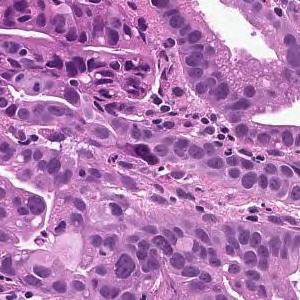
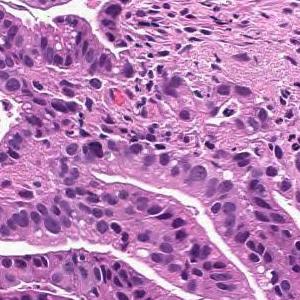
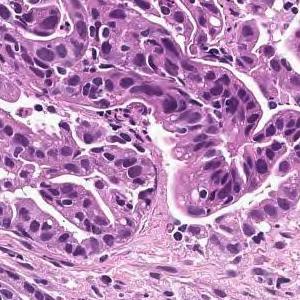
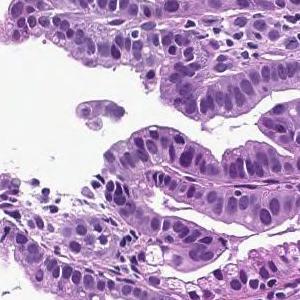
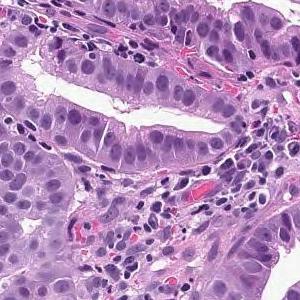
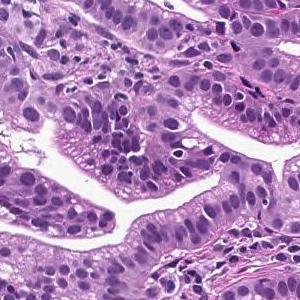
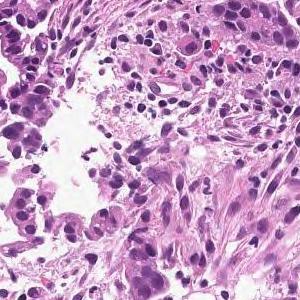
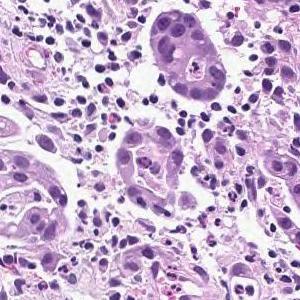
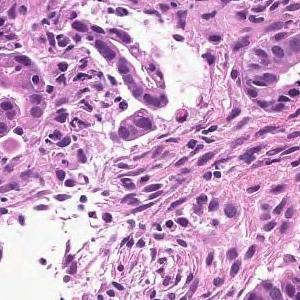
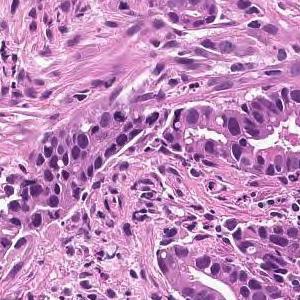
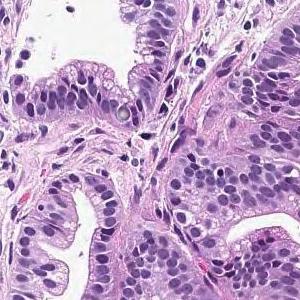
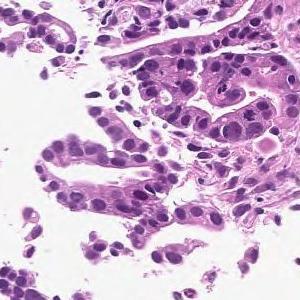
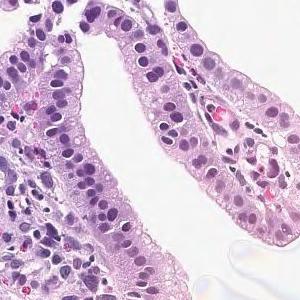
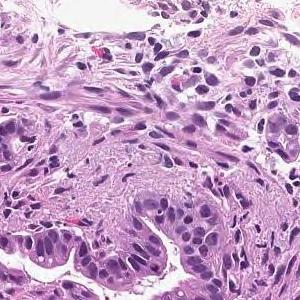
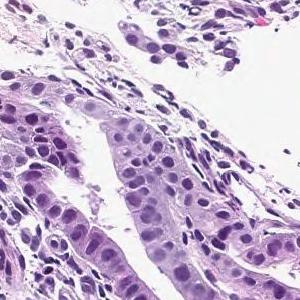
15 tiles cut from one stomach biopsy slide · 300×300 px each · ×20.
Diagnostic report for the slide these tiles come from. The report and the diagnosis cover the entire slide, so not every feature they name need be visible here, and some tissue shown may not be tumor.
On the superficial epithelium, tumor tissue that infiltrates by forming medium-sized papillary or small irregular ducts is observed. Papillary adenocarcinoma
